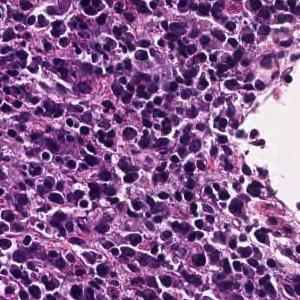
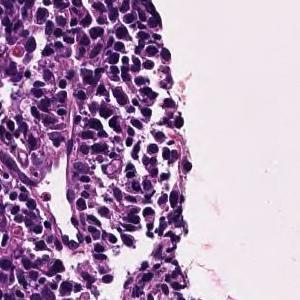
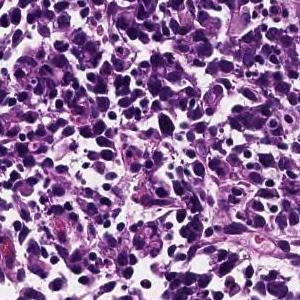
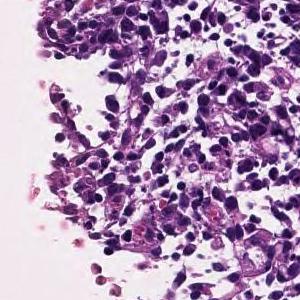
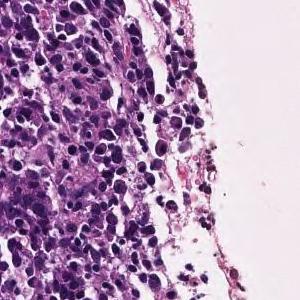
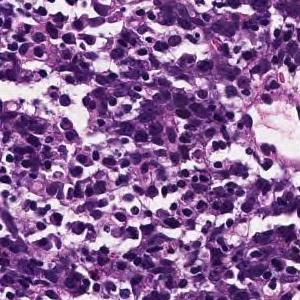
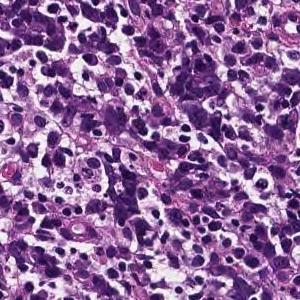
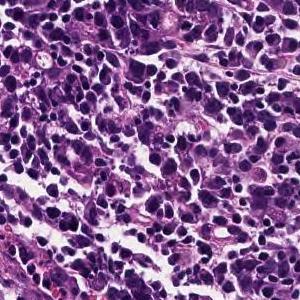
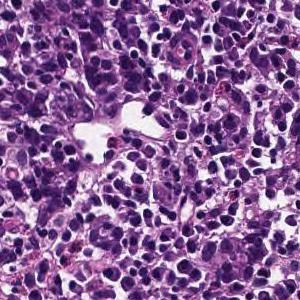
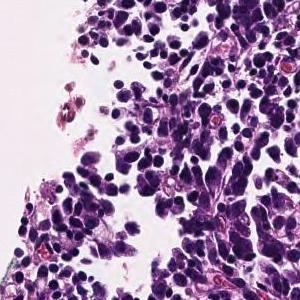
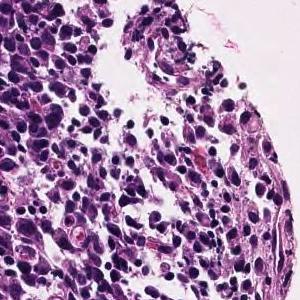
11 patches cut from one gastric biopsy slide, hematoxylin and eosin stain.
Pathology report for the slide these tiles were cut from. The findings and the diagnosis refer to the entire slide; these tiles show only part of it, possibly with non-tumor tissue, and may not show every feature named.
Tumor tissue consisting of cord-like or small, irregular glandular ducts fused and infiltrated is observed in the superficial epithelium. Poorly differentiated adenocarcinoma, non-solid type
The term "non-solid type" comes from the Japanese Classification of Gastric Carcinoma.
